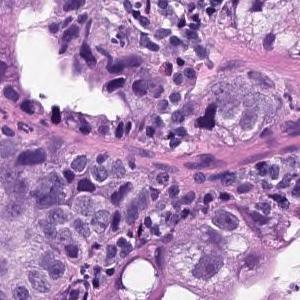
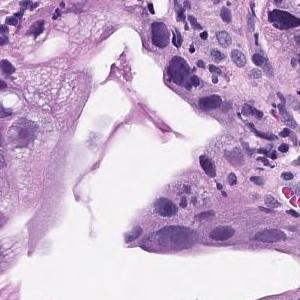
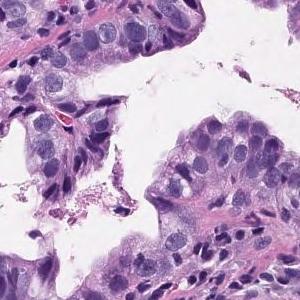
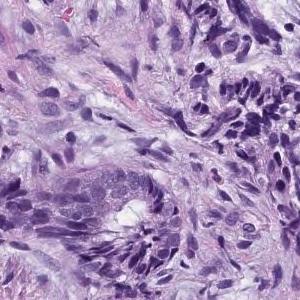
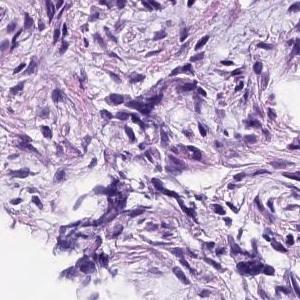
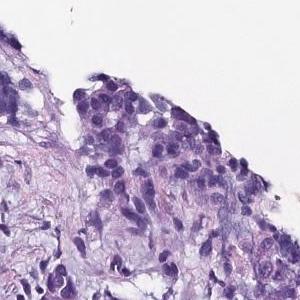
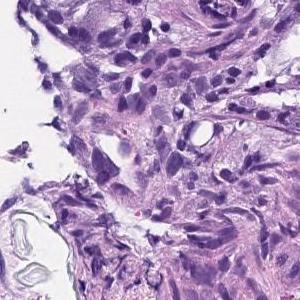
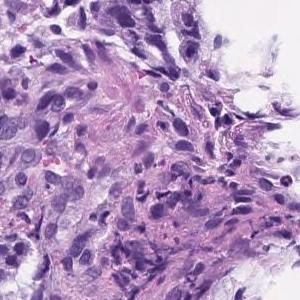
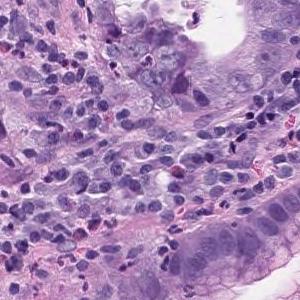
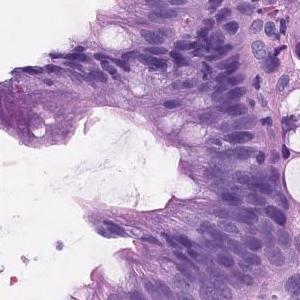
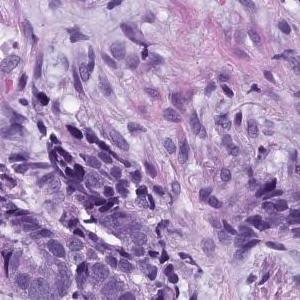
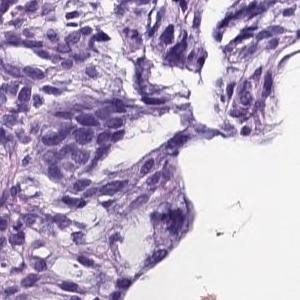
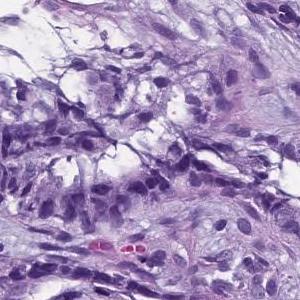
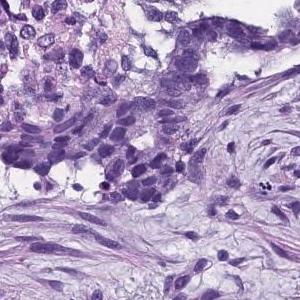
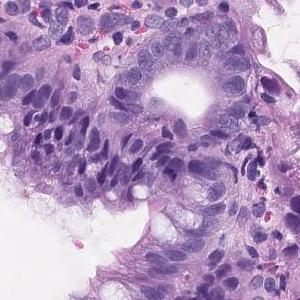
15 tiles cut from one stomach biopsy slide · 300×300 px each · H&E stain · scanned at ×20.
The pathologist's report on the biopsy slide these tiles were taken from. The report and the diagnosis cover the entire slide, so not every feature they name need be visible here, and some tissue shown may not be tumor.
In the superficial epithelium, tumor tissue that invades by forming medium-sized to small, irregular ducts is observed. Moderately differentiated adenocarcinoma.
Histologic type: Moderately differentiated tubular adenocarcinoma.
